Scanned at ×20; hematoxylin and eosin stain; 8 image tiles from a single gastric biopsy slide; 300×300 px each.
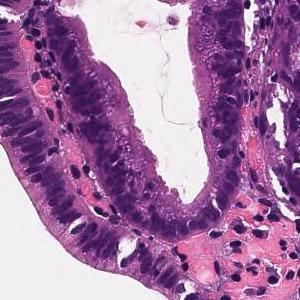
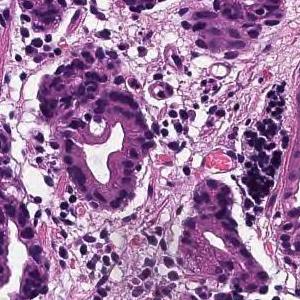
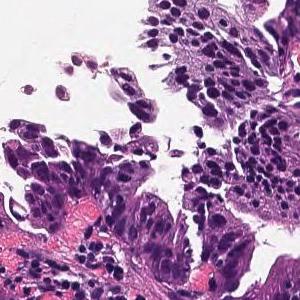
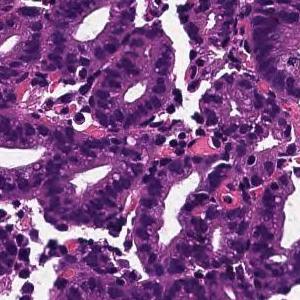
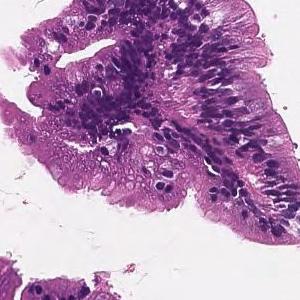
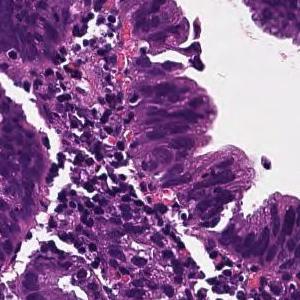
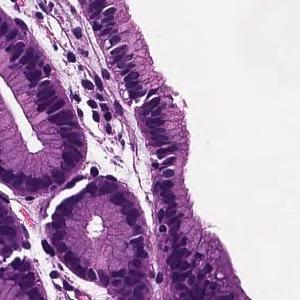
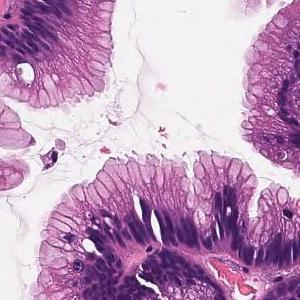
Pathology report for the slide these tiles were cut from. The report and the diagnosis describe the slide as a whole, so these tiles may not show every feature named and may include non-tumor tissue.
Cells with elliptical or atypical nuclei form dense ducts with relatively clear growth. Well differentiated tubular adenocarcinoma
